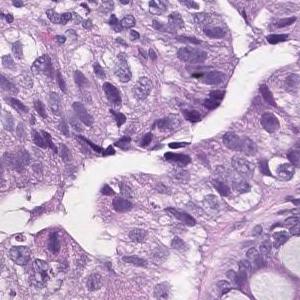
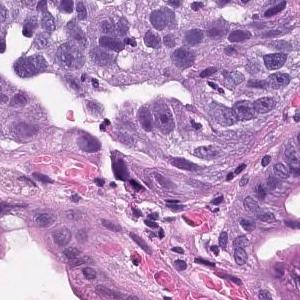
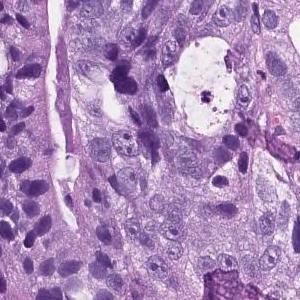
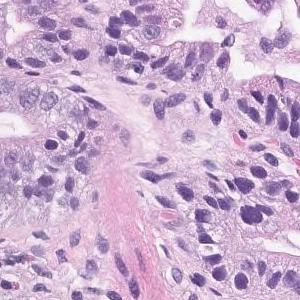
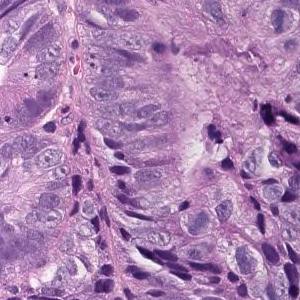
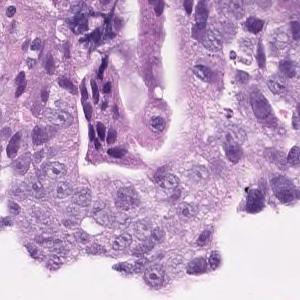
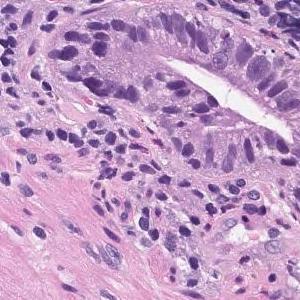
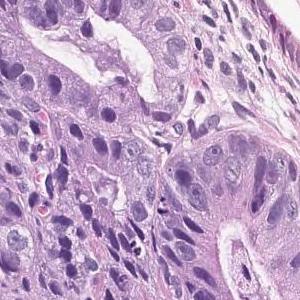
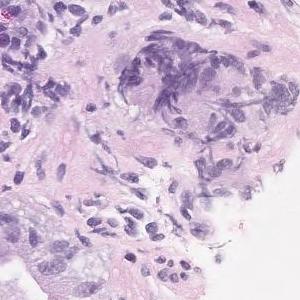
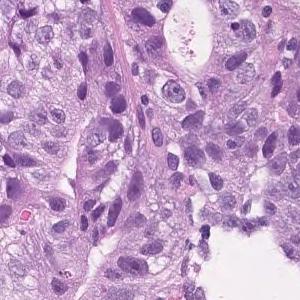
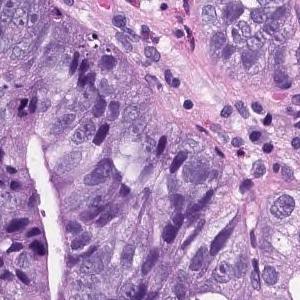
H&E stain · ×20 · 11 patches cut from one gastric biopsy slide · each 300 × 300 pixels.
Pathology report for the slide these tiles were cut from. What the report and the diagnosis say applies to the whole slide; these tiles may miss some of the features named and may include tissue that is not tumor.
On the superficial epithelium, tumor tissue consisting of medium to small irregular tubules partially fused and proliferated is observed. moderately differentiated tubular adenocarcinoma
